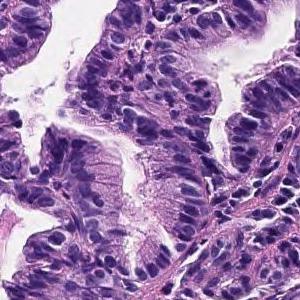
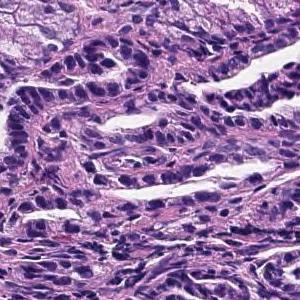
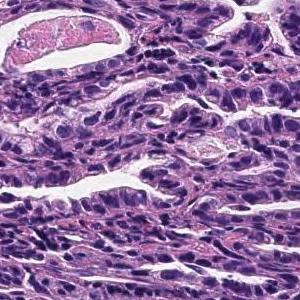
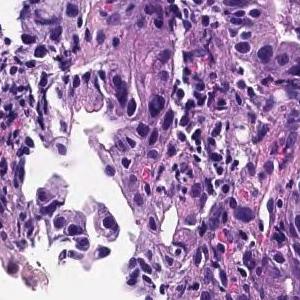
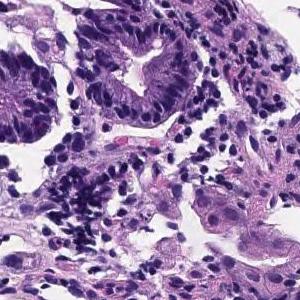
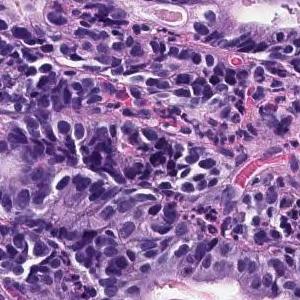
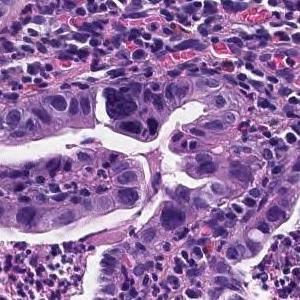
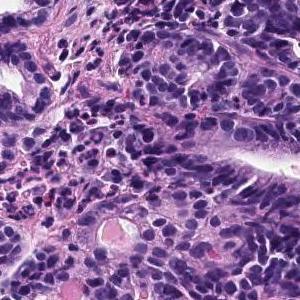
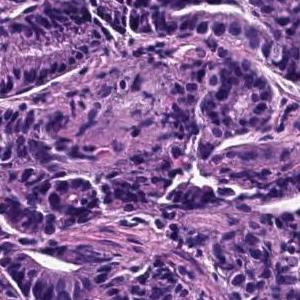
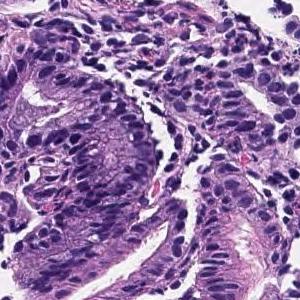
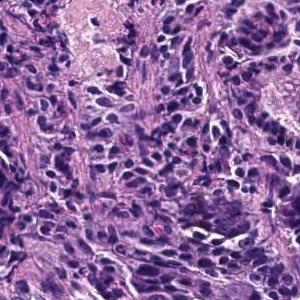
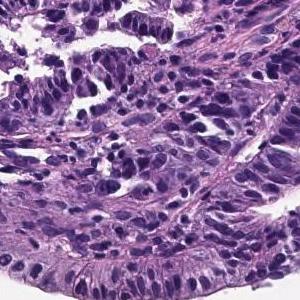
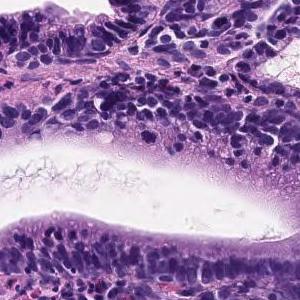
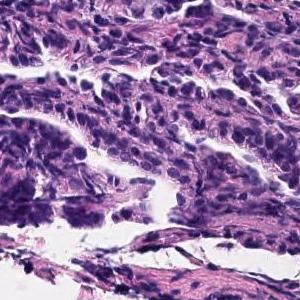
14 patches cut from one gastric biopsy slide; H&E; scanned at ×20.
Report on the slide these tiles come from. The report and the diagnosis cover the entire slide, so not every feature they name need be visible here, and some tissue shown may not be tumor.
The superficial tumors shows large papillary structures or large and small ducts and infiltrates. Papillary adenocarcinoma.
